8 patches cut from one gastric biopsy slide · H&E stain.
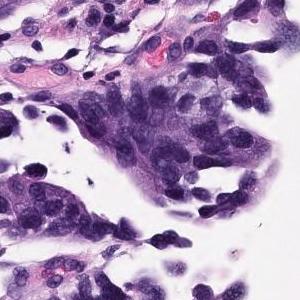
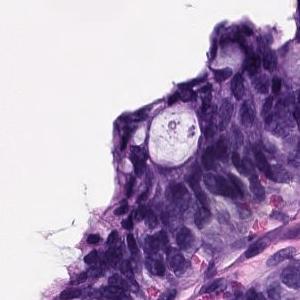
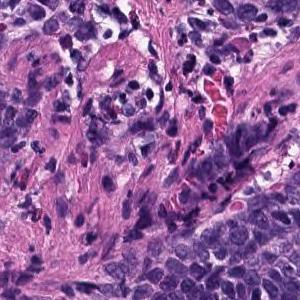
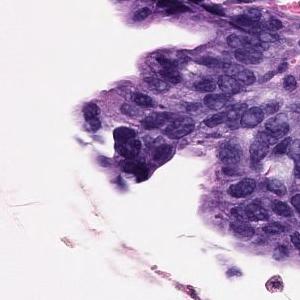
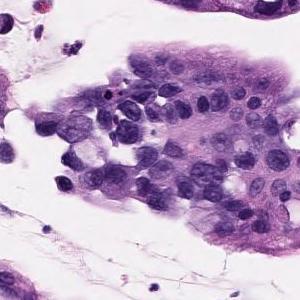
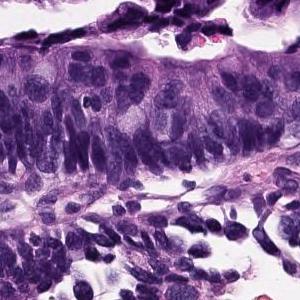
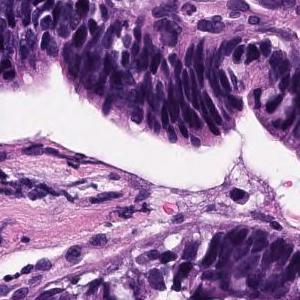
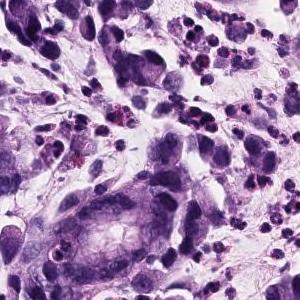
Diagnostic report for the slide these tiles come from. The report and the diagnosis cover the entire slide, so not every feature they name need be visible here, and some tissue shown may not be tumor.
Atypical epithelium proliferating showing villus construction and irregular gland duct construction is observed. Moderately differentiated tubular adenocarcinoma.
